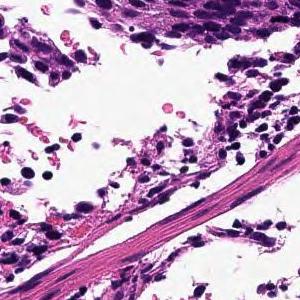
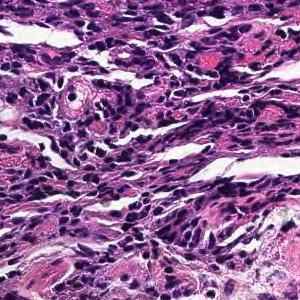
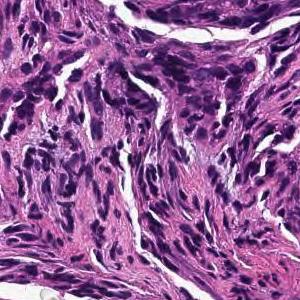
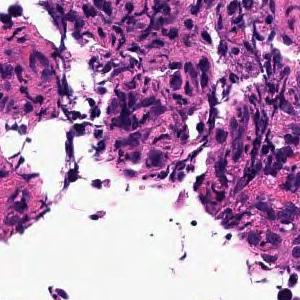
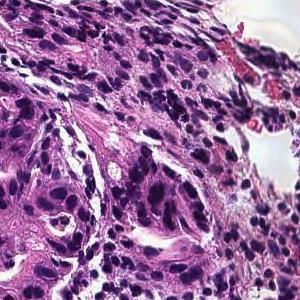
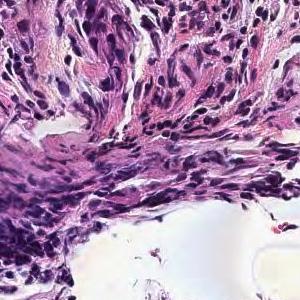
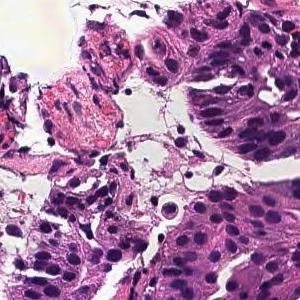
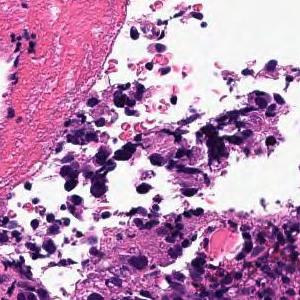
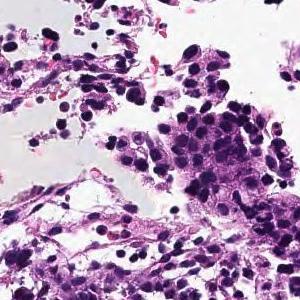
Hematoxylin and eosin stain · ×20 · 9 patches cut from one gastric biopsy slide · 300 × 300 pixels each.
Pathology report for the slide these tiles were cut from. Both the report and the diagnosis are for the whole slide: these tiles need not show every feature named, and some of the tissue shown may not be tumor.
In the superficial epithelium, tumor tissue that invades by forming medium-sized to small, irregular ducts is observed. moderately differentiated tubular adenocarcinoma.
